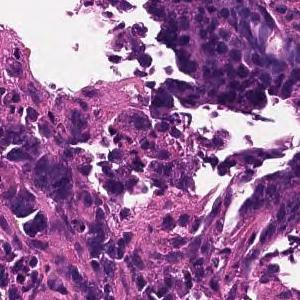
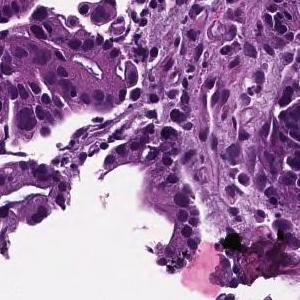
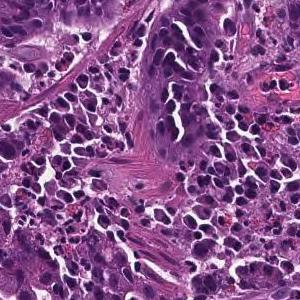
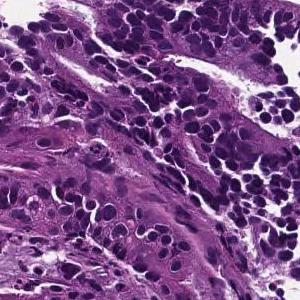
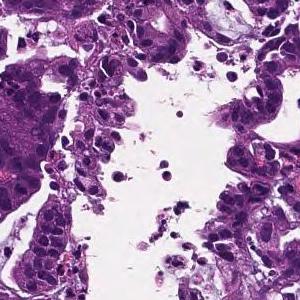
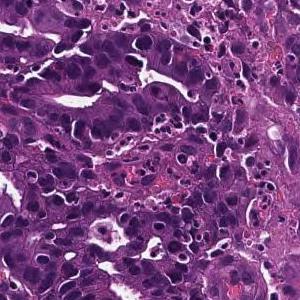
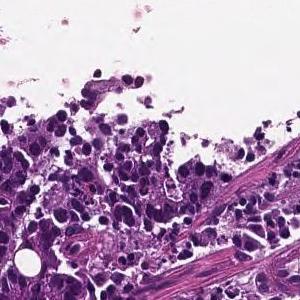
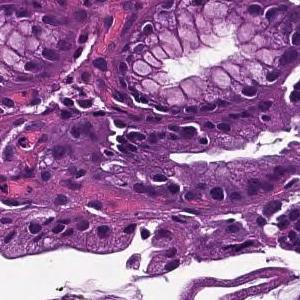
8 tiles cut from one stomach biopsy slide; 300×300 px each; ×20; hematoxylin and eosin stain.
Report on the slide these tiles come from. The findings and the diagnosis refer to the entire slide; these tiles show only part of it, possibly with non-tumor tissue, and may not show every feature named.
On the superficial epithelium, tumor tissue consisting of large irregular glandular ducts partially fused and infiltrated is observed. Well to moderately differentiated tubular adenocarcinoma (well differentiated tubular adenocarcinoma, moderately differentiated tubular adenocarcinoma)
Tumor subtype: well to moderately differentiated tubular adenocarcinoma.
